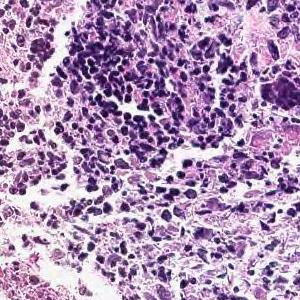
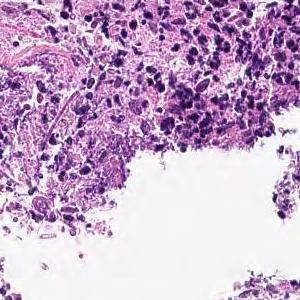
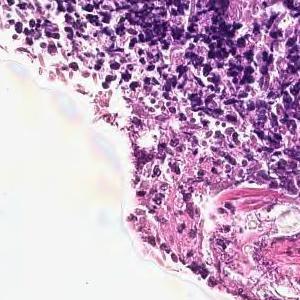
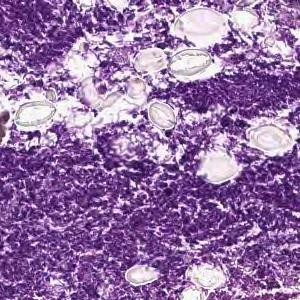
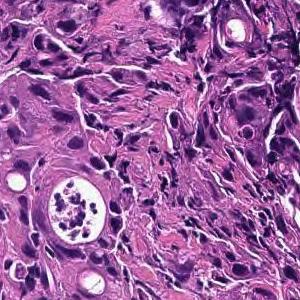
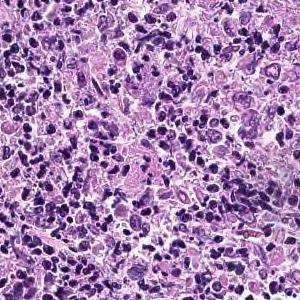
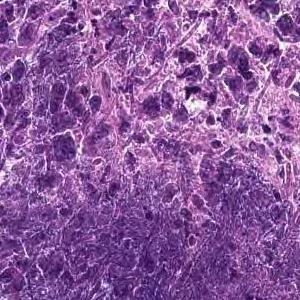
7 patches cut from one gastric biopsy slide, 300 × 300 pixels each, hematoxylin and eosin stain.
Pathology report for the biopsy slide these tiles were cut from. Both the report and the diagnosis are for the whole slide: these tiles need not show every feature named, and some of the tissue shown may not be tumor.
Cancers with polygonal nuclei do not show glandular formation and are densely, in part, cord-like and proliferate. Poorly differentiated adenocarcinoma
Tumor subtype: poorly differentiated adenocarcinoma, non-solid type.
"Non-solid type" is a category of the Japanese Classification of Gastric Carcinoma.
